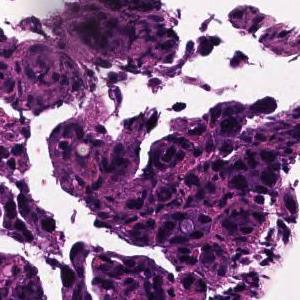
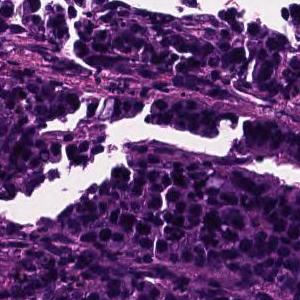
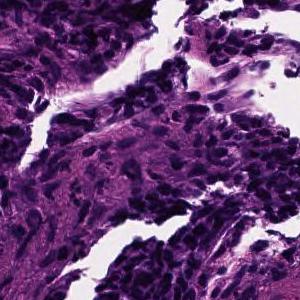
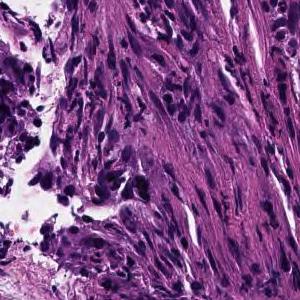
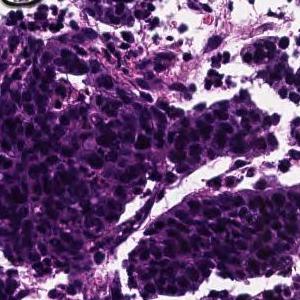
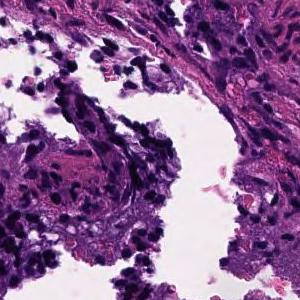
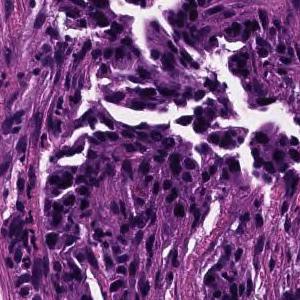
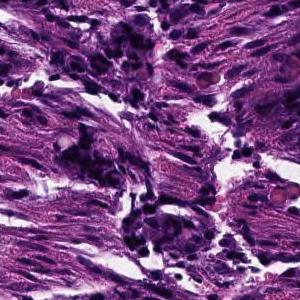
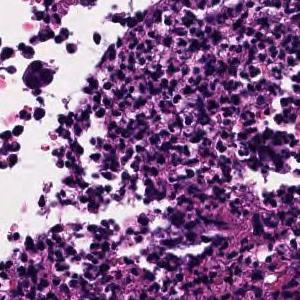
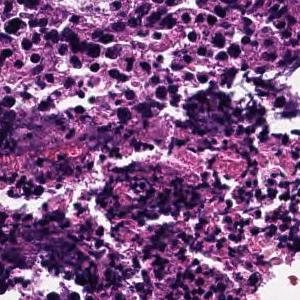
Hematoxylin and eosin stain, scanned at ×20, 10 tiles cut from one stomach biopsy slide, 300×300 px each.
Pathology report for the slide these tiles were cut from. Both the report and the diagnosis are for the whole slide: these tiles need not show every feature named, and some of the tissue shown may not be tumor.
In the superficial epithelium, tumor tissue that invades by forming medium-sized to small, irregular ducts is observed. moderately differentiated tubular adenocarcinoma.
